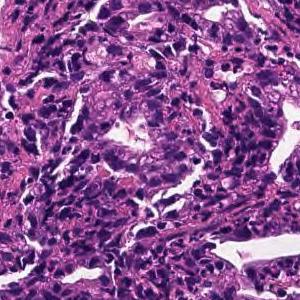
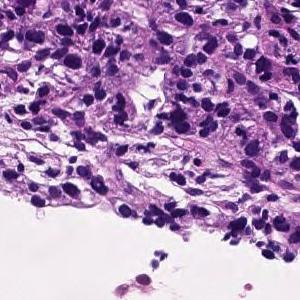
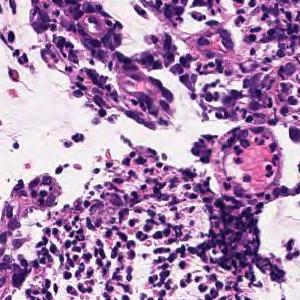
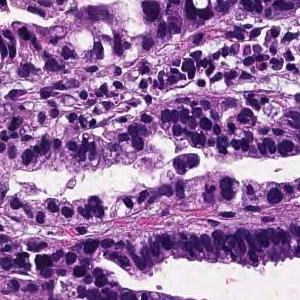
4 image tiles from a single gastric biopsy slide; scanned at ×20; H&E stain.
Pathology report for the biopsy slide these tiles were cut from. The report describes the whole slide, diagnosis included: not every finding it names need appear in these tiles, which may also show non-tumor tissue.
On the superficial epithelium, tumor tissue consisting of large, irregular glandular ducts partially fused and infiltrated is observed. Well to moderately differentiated tubular adenocarcinoma (well differentiated tubular adenocarcinoma, moderately differentiated tubular adenocarcinoma)
Histological subtype: Well to moderately differentiated tubular adenocarcinoma.
